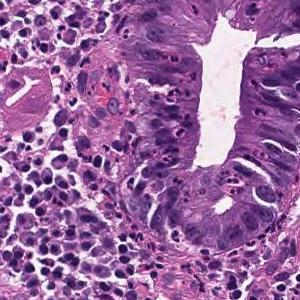
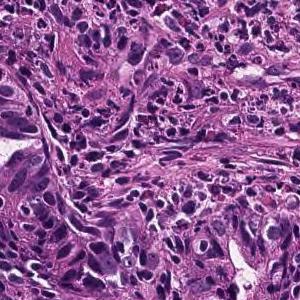
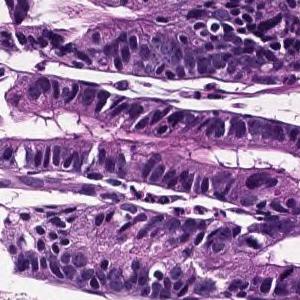
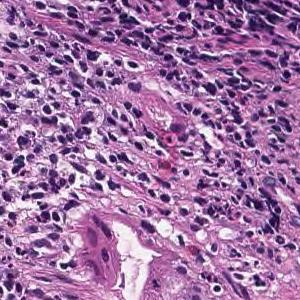
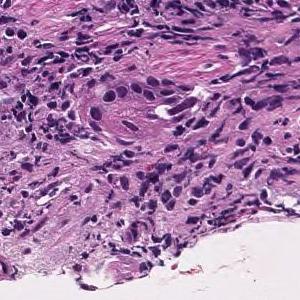
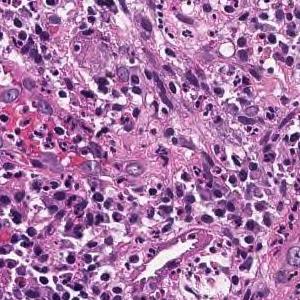
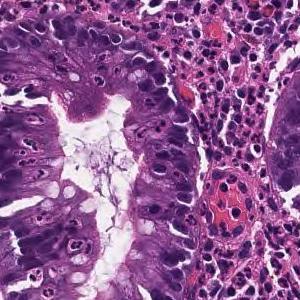
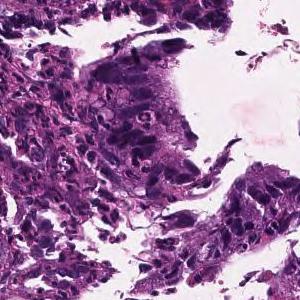
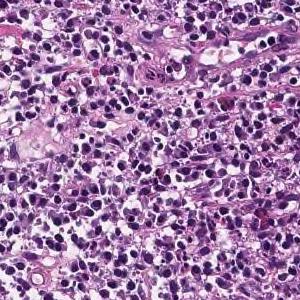
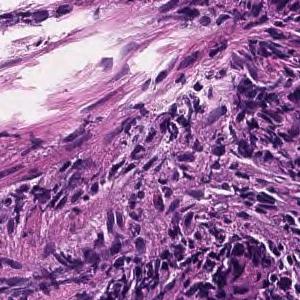
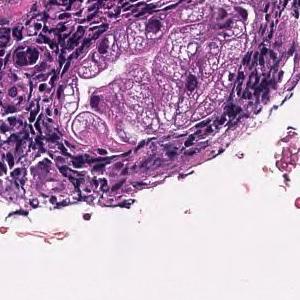
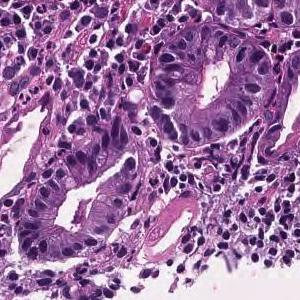
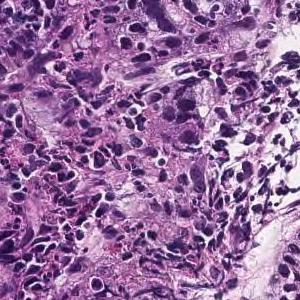
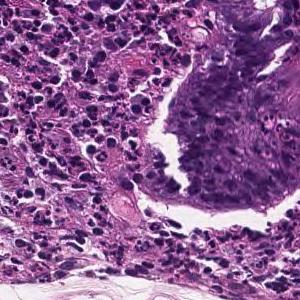
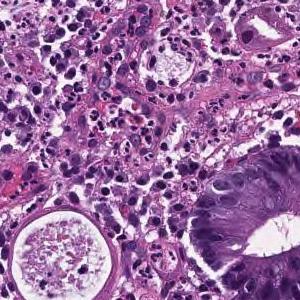
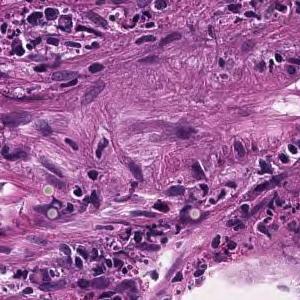
Hematoxylin and eosin stain; scanned at ×20; 16 image tiles from a single gastric biopsy slide; 300 × 300 pixels each.
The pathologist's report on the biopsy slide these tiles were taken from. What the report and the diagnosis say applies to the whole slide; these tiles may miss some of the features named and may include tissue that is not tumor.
On the superficial epithelium, tumor tissue consisting of large, irregular glandular ducts partially fused and infiltrated is observed. Well to moderately differentiated tubular adenocarcinoma (well differentiated tubular adenocarcinoma, moderately differentiated tubular adenocarcinoma)
Subtype: Well to moderately differentiated tubular adenocarcinoma.
